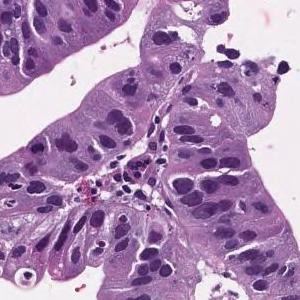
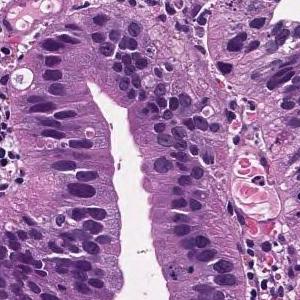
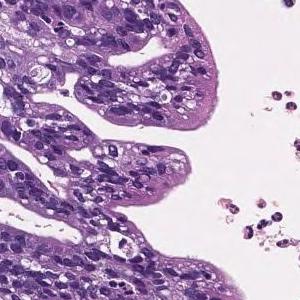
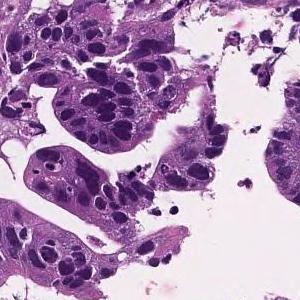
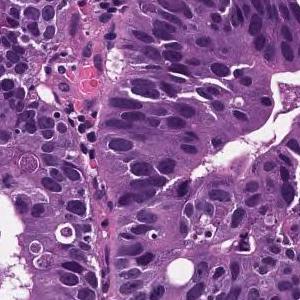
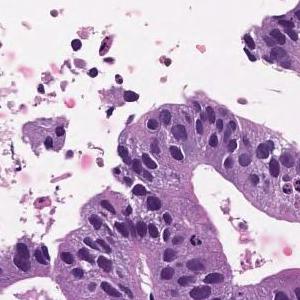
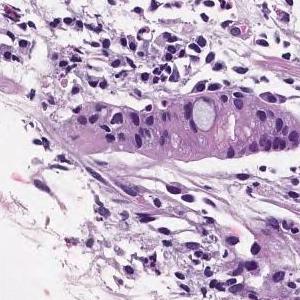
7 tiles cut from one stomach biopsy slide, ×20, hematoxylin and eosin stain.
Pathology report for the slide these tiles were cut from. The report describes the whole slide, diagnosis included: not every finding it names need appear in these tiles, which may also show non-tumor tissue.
Tumor cells are large, highly columnar, large club-shaped nuclei, and are associated with chromatin aggregation. Papillary adenocarcinoma.
